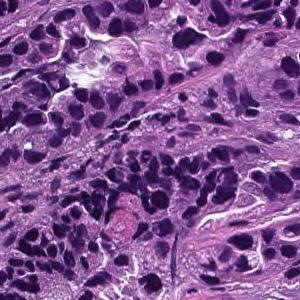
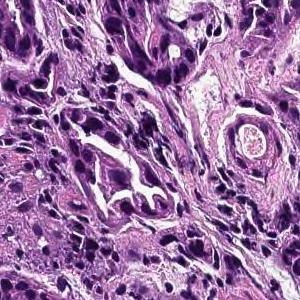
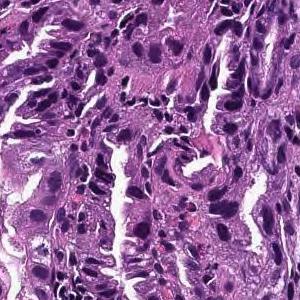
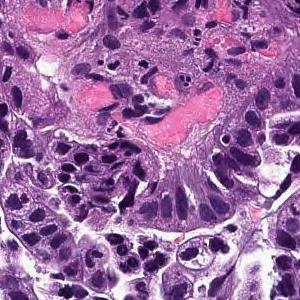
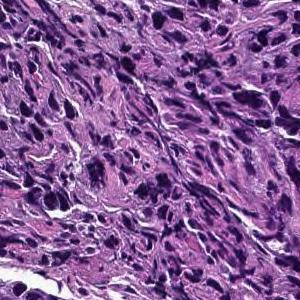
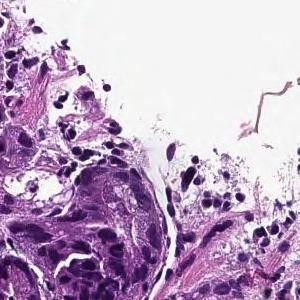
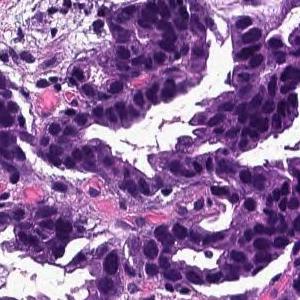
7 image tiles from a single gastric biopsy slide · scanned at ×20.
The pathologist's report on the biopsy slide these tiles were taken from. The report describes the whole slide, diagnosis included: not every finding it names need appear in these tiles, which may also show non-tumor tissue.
Tumor cells are large, highly columnar, large club-shaped nuclei, and are associated with chromatin aggregation. Papillary adenocarcinoma.
